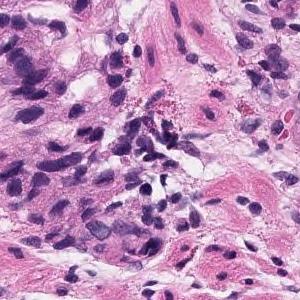
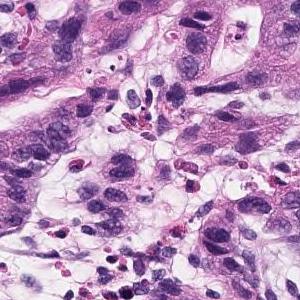
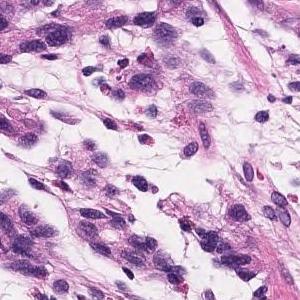
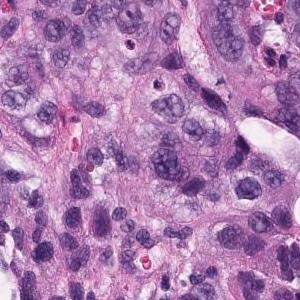
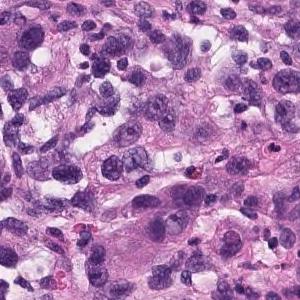
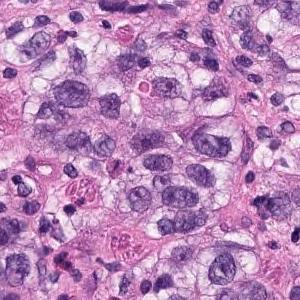
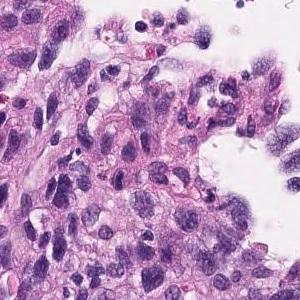
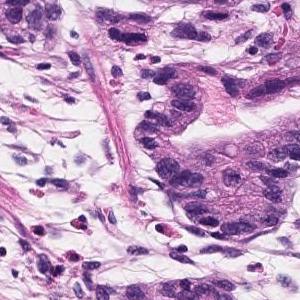
Hematoxylin and eosin stain · 8 patches cut from one gastric biopsy slide · each 300 × 300 pixels.
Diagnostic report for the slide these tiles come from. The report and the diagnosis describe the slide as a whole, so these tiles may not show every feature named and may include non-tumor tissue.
Atypical l cells with atypical nuclei forming diffuse or small irregular atypical ducts and growing. Moderately to poorly differentiated adenocarcinoma (poorly differentiated adenocarcinoma, solid type, moderately differentiated tubular adenocarcinoma)
Classified as moderately to poorly differentiated adenocarcinoma.
The term "solid type" comes from the Japanese Classification of Gastric Carcinoma; the WHO 2019 equivalent is tubular adenocarcinoma, poorly differentiated.
